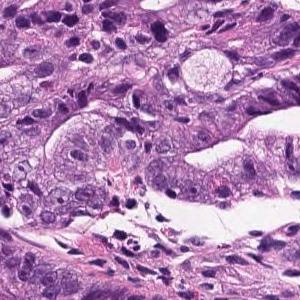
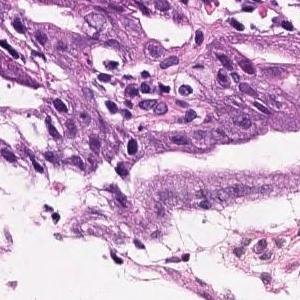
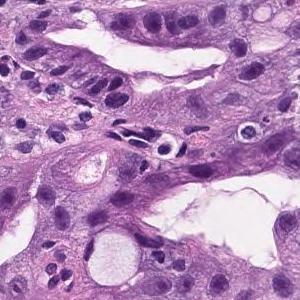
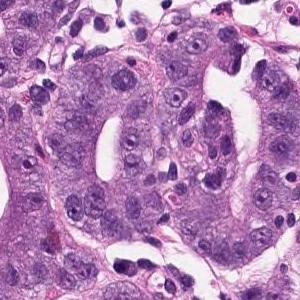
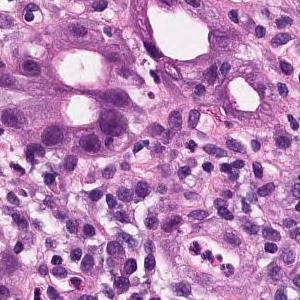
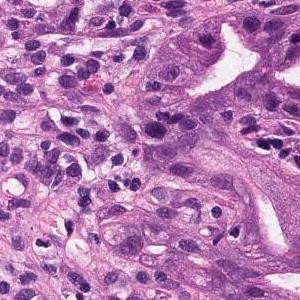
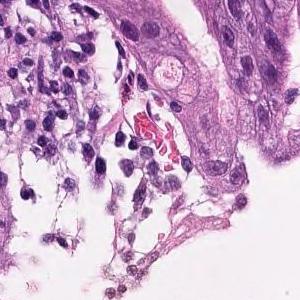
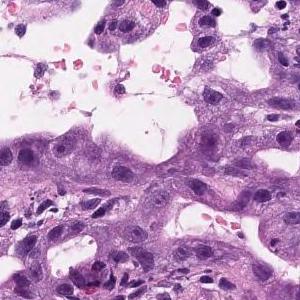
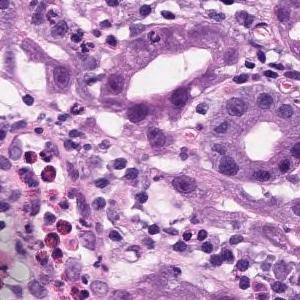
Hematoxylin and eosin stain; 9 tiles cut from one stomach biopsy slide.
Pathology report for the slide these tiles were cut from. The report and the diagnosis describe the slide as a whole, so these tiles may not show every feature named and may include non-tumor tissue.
In the superficial epithelium, tumor tissue that invades by forming medium-sized to small, irregular ducts is observed. Well to moderately differentiated adenocarcinoma (well differentiated tubular adenocarcinoma, moderately differentiated tubular adenocarcinoma).
Histologic type: Well to moderately differentiated tubular adenocarcinoma.
